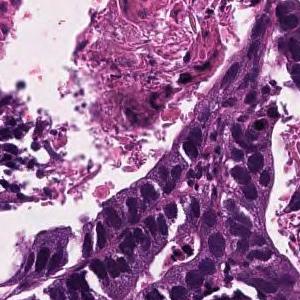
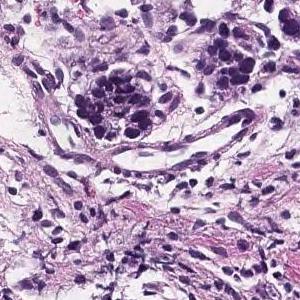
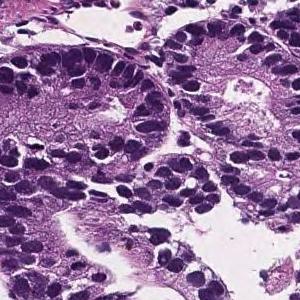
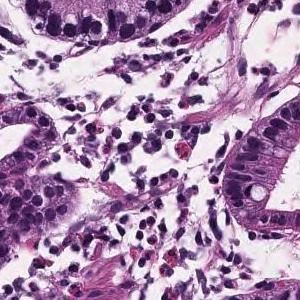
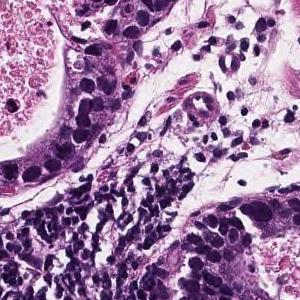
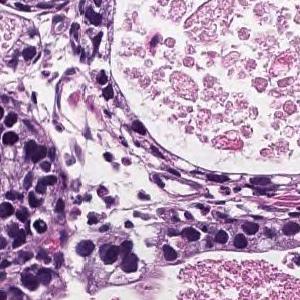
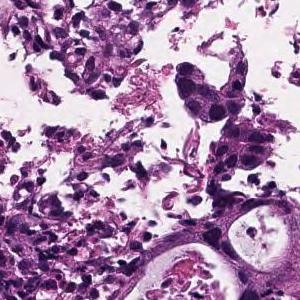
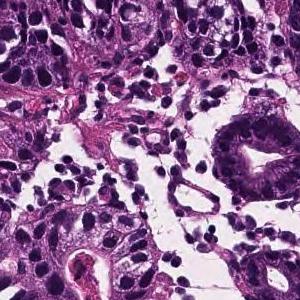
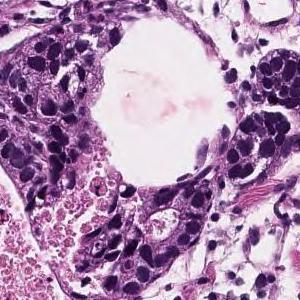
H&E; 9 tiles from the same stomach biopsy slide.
Pathology report for the slide these tiles were cut from. The report and the diagnosis describe the slide as a whole, so these tiles may not show every feature named and may include non-tumor tissue.
In the superficial epithelium, tumor tissue that invades by forming medium-sized to small, irregular ducts is observed. Well differentiated tubular adenocarcinoma.
